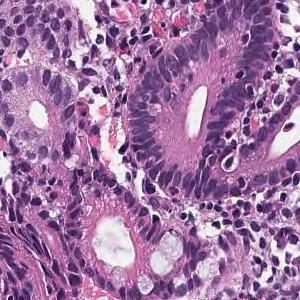
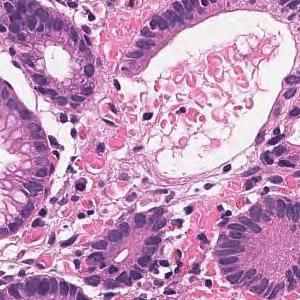
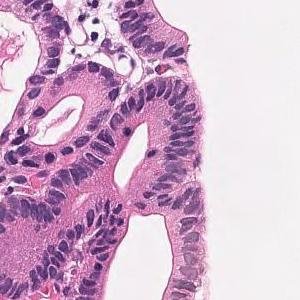
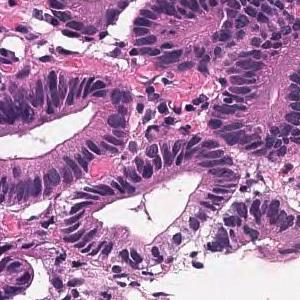
4 patches cut from one gastric biopsy slide · 300 × 300 pixels each · scanned at ×20.
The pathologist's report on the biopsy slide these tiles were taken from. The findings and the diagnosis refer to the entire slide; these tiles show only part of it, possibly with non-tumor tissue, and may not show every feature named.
Tumor tissue in which medium to small irregular ducts infiltrate and proliferate in the submucosa can be seen in the epithelium. Well differentiated tubular adenocarcinoma
